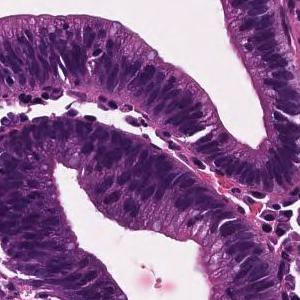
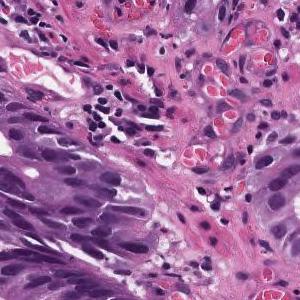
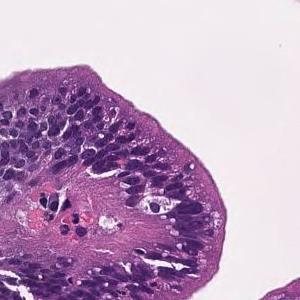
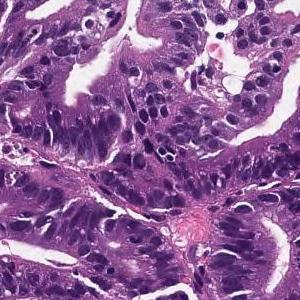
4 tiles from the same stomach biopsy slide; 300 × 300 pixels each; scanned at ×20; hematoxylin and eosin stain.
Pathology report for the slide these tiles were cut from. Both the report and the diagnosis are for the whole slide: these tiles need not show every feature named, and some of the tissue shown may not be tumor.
Tumor cells are large, highly columnar, large club-shaped nuclei, and are associated with chromatin aggregation. Papillary adenocarcinoma.
